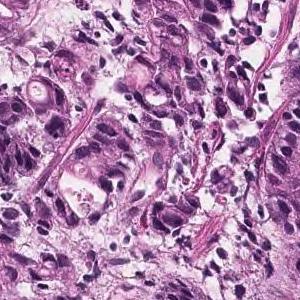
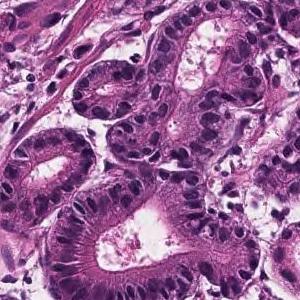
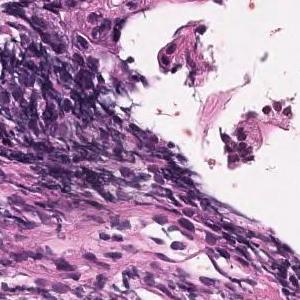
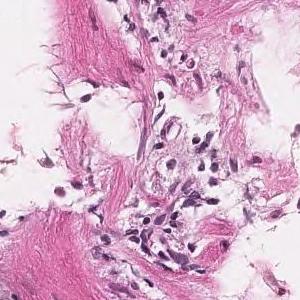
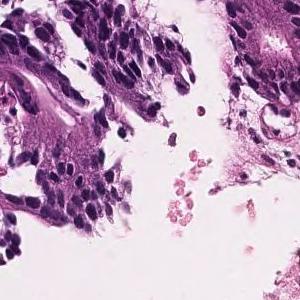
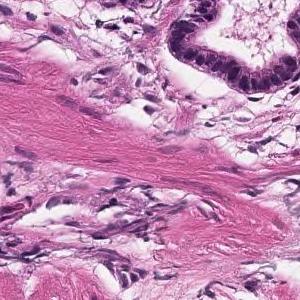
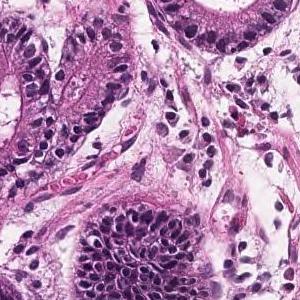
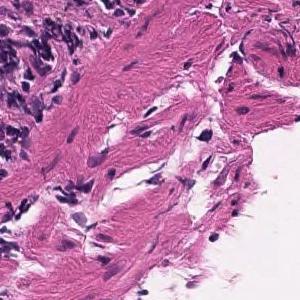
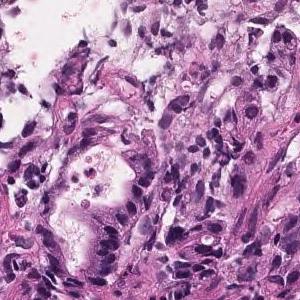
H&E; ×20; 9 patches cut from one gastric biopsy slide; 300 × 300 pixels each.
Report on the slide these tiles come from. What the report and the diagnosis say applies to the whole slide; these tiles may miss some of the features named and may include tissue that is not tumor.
Tumor tissue with atypical epithelium showing irregular ductal or sieving ductal structure and proliferating is observed. Well to moderately differentiated tubular adenocarcinoma (well differentiated tubular adenocarcinoma-moderately differentiated tubular adenocarcinoma)
Subtype: Well to moderately differentiated tubular adenocarcinoma.
